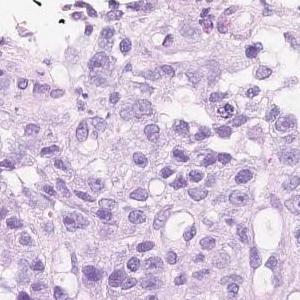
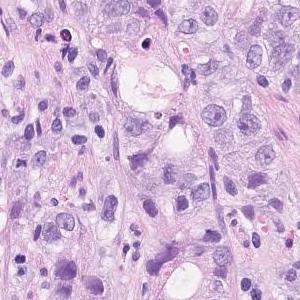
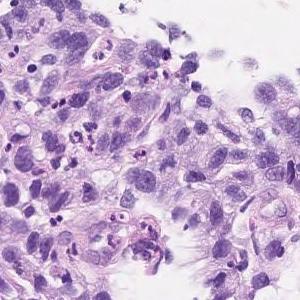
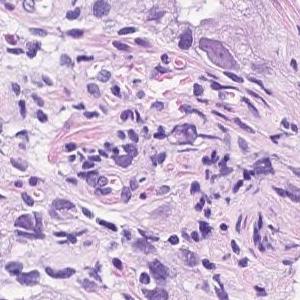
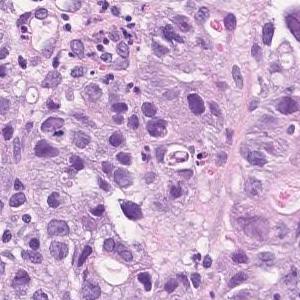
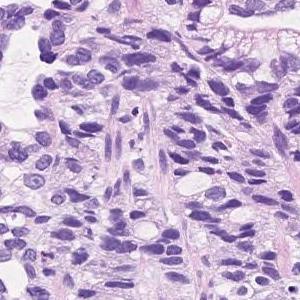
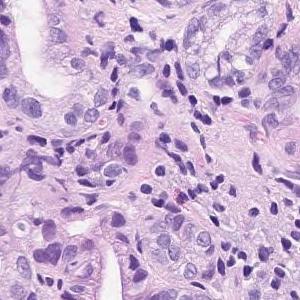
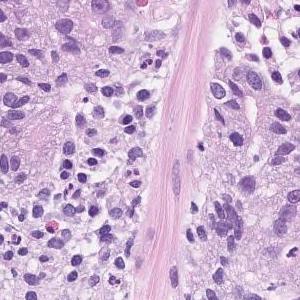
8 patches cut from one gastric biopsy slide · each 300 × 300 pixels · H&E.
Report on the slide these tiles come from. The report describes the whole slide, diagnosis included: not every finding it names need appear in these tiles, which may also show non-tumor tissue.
In the superficial epithelium, tumor tissue that invades by forming medium-sized to small, irregular ducts is observed. Moderately to poorly differentiated adenocarcinoma
